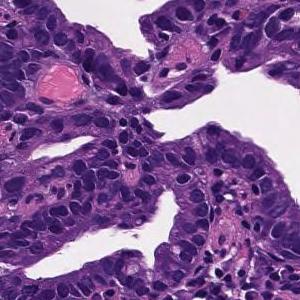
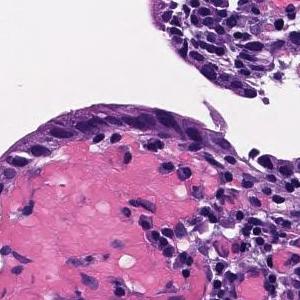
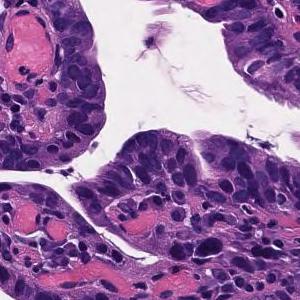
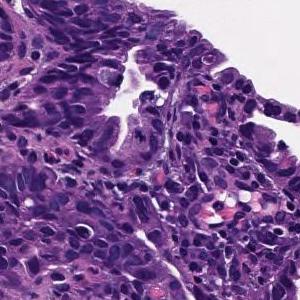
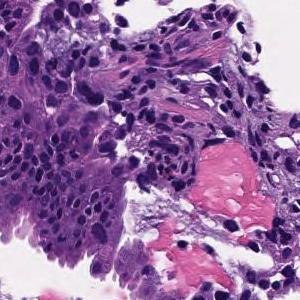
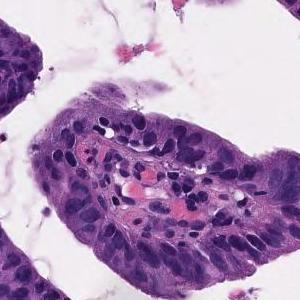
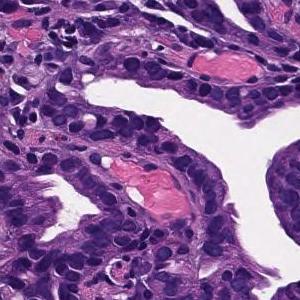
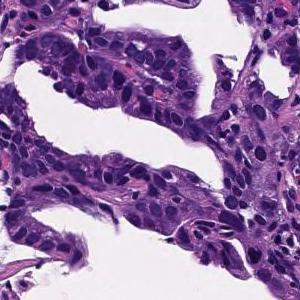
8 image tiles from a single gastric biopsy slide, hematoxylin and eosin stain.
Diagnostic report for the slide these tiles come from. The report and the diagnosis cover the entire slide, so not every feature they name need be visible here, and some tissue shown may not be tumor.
From the superficial epithelium to the muscularis mucosae, tumor tissue consisting of medium-sized and irregular glandular ducts infiltrating is observed. Well differentiated tubular adenocarcinoma
